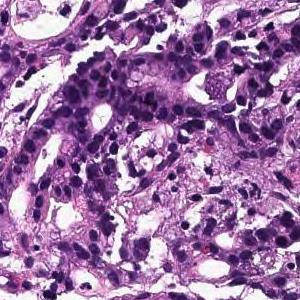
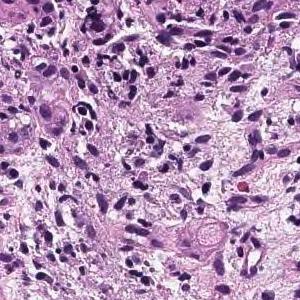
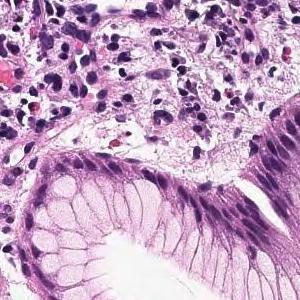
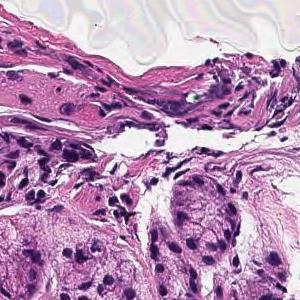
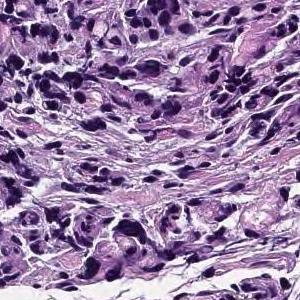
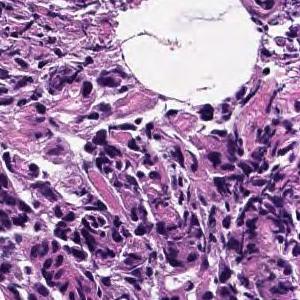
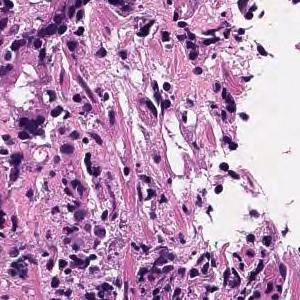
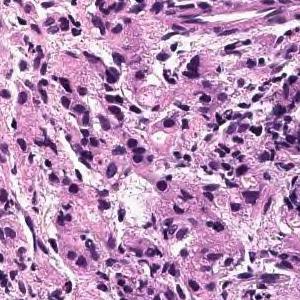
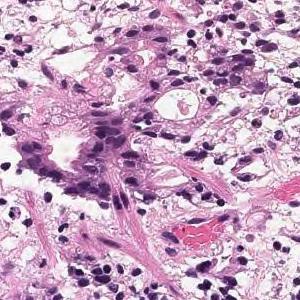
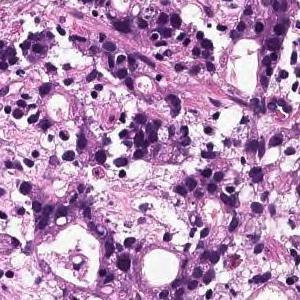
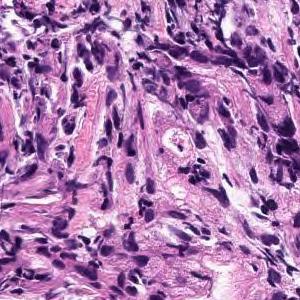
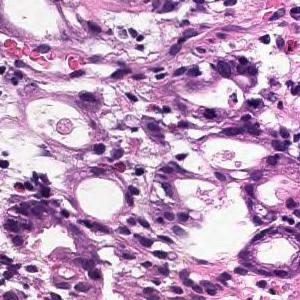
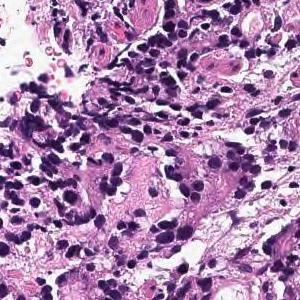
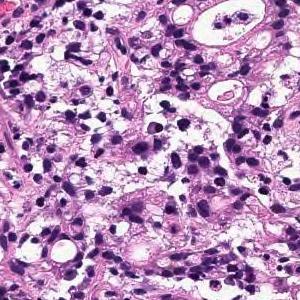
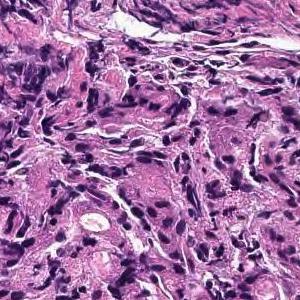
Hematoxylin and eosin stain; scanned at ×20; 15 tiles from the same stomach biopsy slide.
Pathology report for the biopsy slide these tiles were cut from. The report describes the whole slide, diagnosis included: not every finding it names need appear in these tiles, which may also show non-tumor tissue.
Tumor tissue consisting of cord-like or small, irregular glandular ducts fused and infiltrated is observed in the superficial epithelium. Poorly differentiated adenocarcinoma, non-solid type
The term "non-solid type" comes from the Japanese Classification of Gastric Carcinoma.
